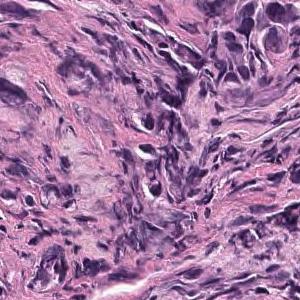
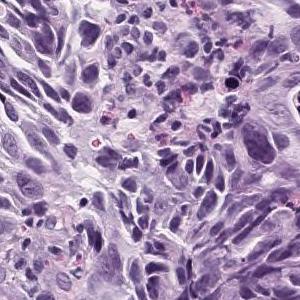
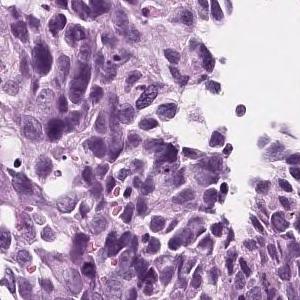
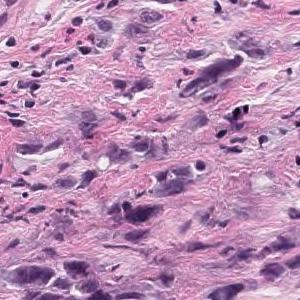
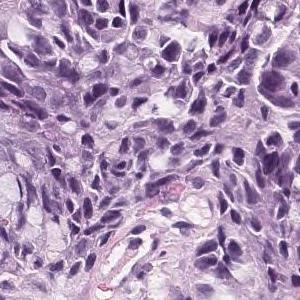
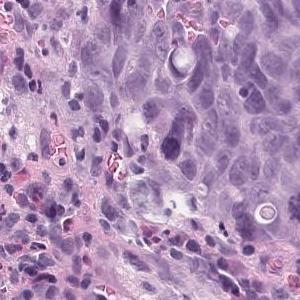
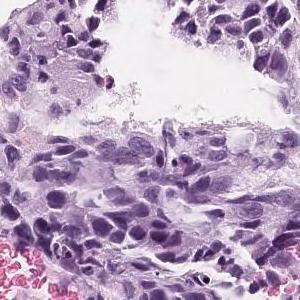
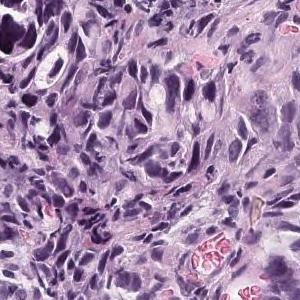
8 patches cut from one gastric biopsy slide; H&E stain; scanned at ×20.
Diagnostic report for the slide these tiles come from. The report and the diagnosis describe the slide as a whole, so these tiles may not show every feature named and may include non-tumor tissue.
Large atypical epithelial cells showing polymorphism form solid alveolar lesions, and tumor tissue infiltrating with microglandular cavities is observed. Poorly differentiated adenocarcinoma, solid-type
Histologic type: Poorly differentiated adenocarcinoma, solid type. This name comes from the Japanese Classification of Gastric Carcinoma; the WHO 2019 classification calls it tubular adenocarcinoma, poorly differentiated.
